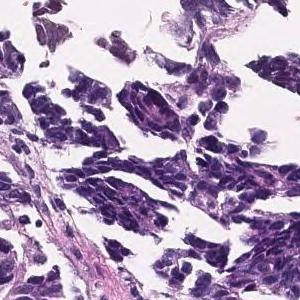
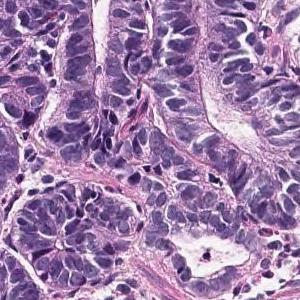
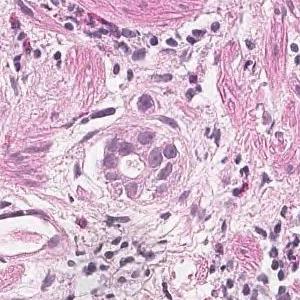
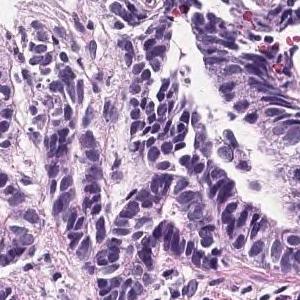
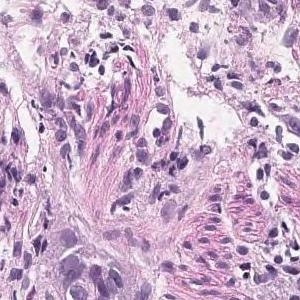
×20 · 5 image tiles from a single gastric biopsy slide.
The pathologist's report on the biopsy slide these tiles were taken from. What the report and the diagnosis say applies to the whole slide; these tiles may miss some of the features named and may include tissue that is not tumor.
In the superficial epithelium, tumor tissue that invades by forming medium-sized to small, irregular ducts is observed. Well differentiated tubular adenocarcinoma.
